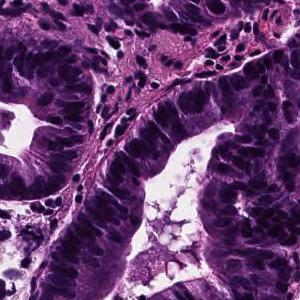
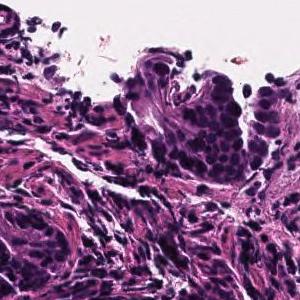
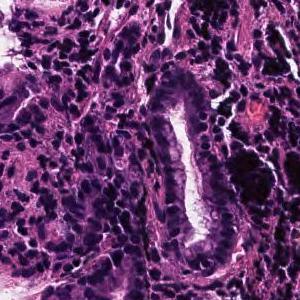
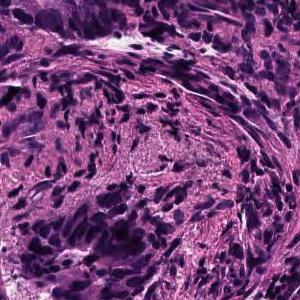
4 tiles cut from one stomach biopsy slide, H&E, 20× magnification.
Report on the slide these tiles come from. The report and the diagnosis describe the slide as a whole, so these tiles may not show every feature named and may include non-tumor tissue.
On the superficial epithelium, tumor tissue consisting of large, irregular glandular ducts partially fused and infiltrated is observed. Well to moderately differentiated tubular adenocarcinoma (well differentiated tubular adenocarcinoma, moderately differentiated tubular adenocarcinoma)
Classified as well to moderately differentiated tubular adenocarcinoma.
